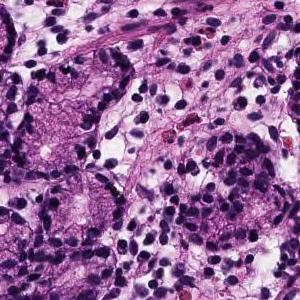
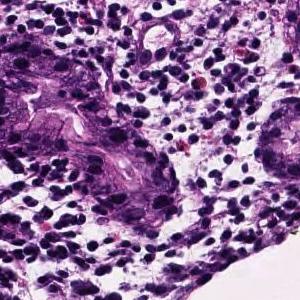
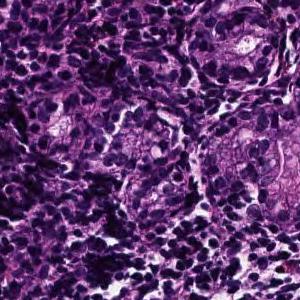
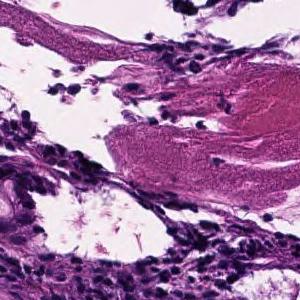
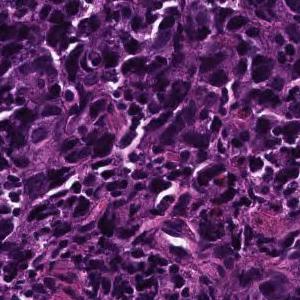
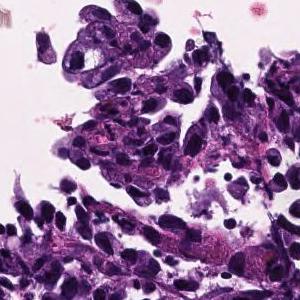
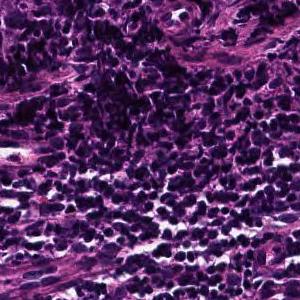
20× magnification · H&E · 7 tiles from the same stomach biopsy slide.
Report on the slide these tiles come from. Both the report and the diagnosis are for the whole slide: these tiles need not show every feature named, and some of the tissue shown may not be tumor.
The superficial epithelium shows a large sheet-like shape, and some tumor tissues infiltrate with a small cord-like structure. Poorly differentiated adenocarcinoma, solid type (poorly differentiated adenocarcinoma, solid type)
Histological subtype: Poorly differentiated adenocarcinoma, solid type (Japanese Classification of Gastric Carcinoma). The WHO 2019 equivalent is tubular adenocarcinoma, poorly differentiated.
